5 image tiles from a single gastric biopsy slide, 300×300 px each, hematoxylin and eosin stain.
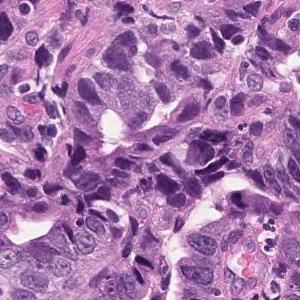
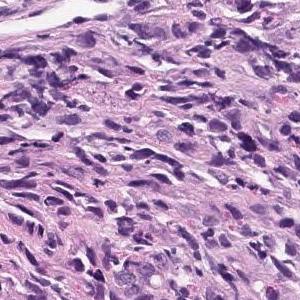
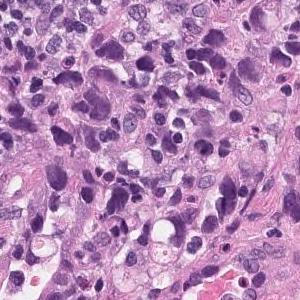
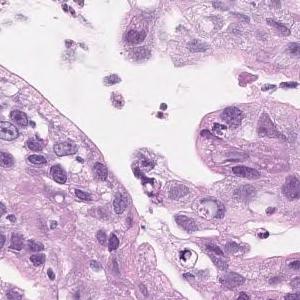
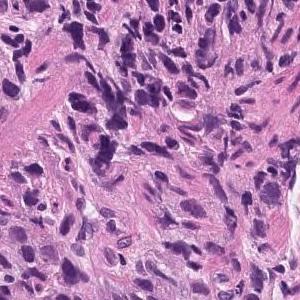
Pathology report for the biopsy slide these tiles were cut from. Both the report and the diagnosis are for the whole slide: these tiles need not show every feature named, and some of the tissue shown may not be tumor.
Tumor tissue consisting of medium-sized, cord-like or irregular glandular infiltration is observed in the superficial epithelium. Poorly differentiated adenocarcinoma, non-solid type or moderately differentiated tubular adenocarcinoma
Dataset label: poorly differentiated adenocarcinoma, non-solid type.
"Non-solid type" is a category of the Japanese Classification of Gastric Carcinoma.
